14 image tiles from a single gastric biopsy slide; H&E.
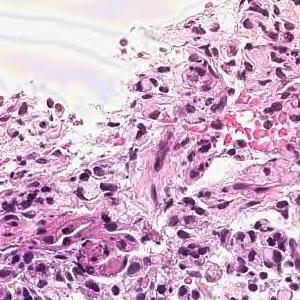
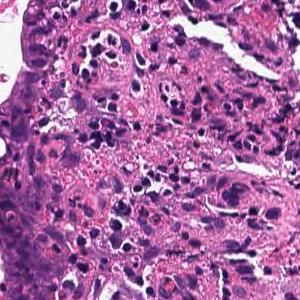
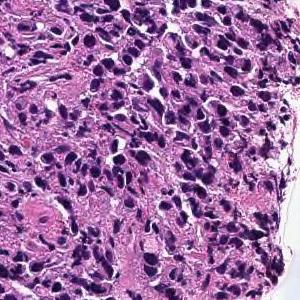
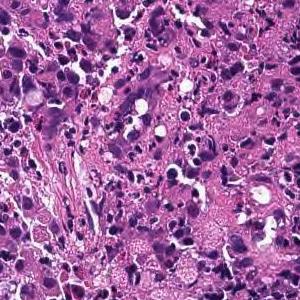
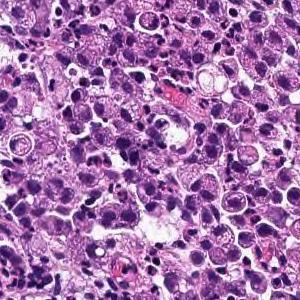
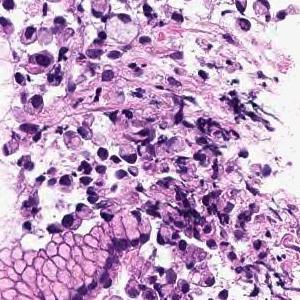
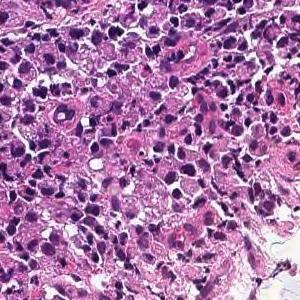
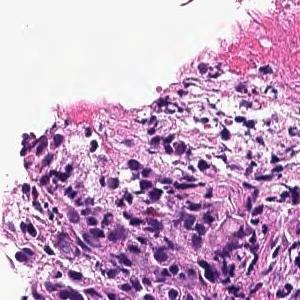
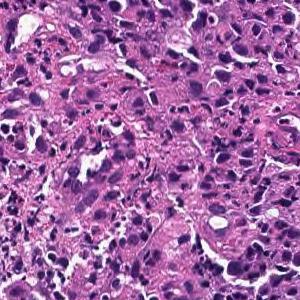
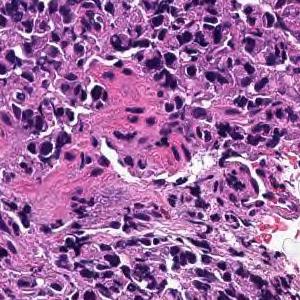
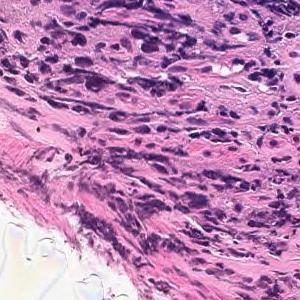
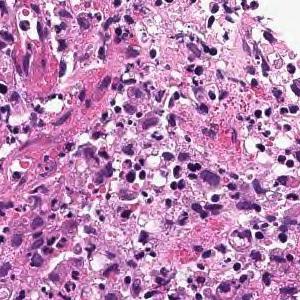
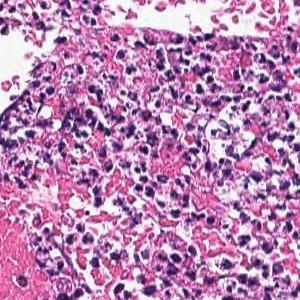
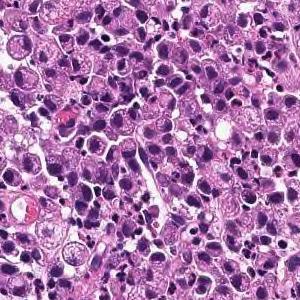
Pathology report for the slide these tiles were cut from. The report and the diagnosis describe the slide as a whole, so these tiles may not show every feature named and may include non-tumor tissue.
Tumor tissue consisting of diffusely infiltrated large atypical epithelial cells or signet ring atypical cells is observed in the superficial epithelium. Poorly differentiated adenocarcinoma, solid-type
Classified as poorly differentiated adenocarcinoma, solid type. This name comes from the Japanese Classification of Gastric Carcinoma; the WHO 2019 classification calls it tubular adenocarcinoma, poorly differentiated.
